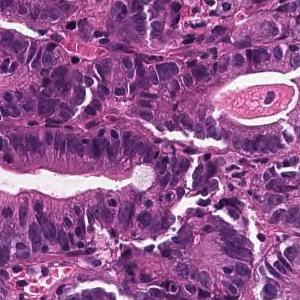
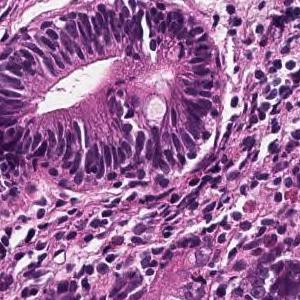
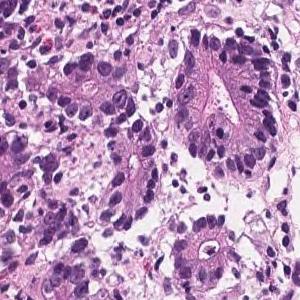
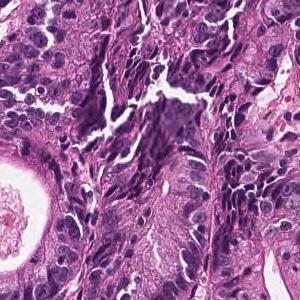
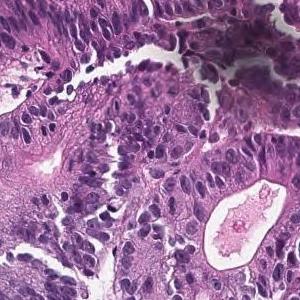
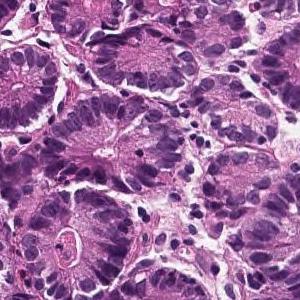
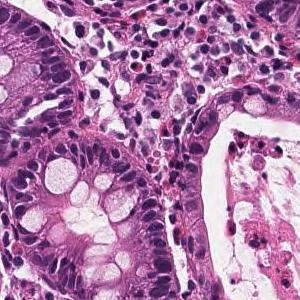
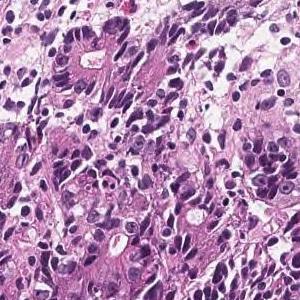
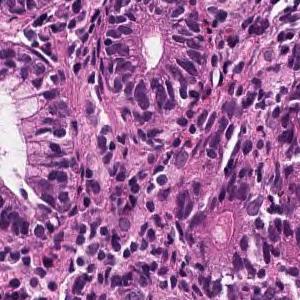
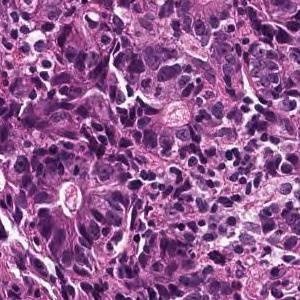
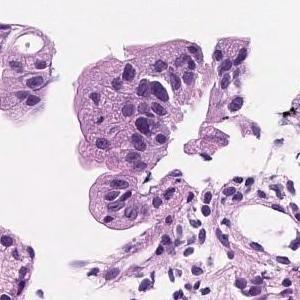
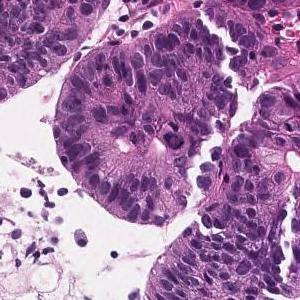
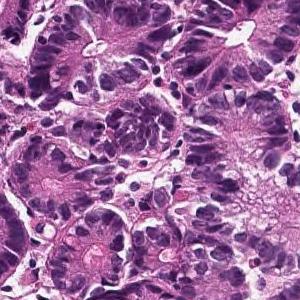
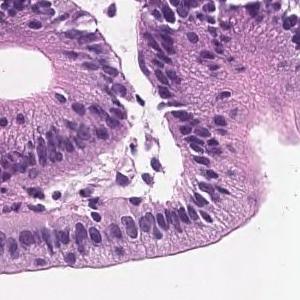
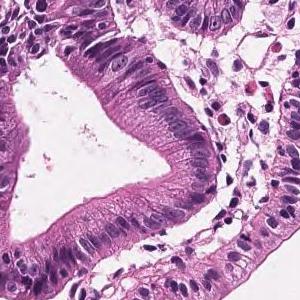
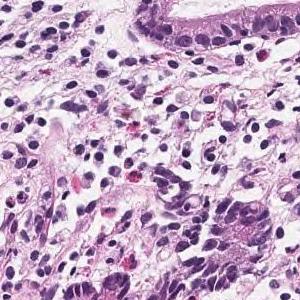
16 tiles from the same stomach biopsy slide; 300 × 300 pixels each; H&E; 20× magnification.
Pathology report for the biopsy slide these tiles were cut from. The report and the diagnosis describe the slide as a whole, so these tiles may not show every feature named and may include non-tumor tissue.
In the superficial epithelium, tumor tissue that invades by forming medium-sized to small, irregular ducts is observed. Moderately differentiated adenocarcinoma.
Histologic type: Moderately differentiated tubular adenocarcinoma.
